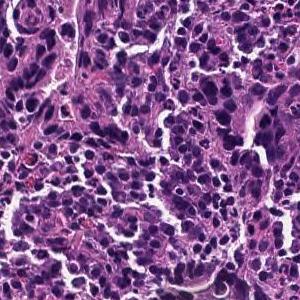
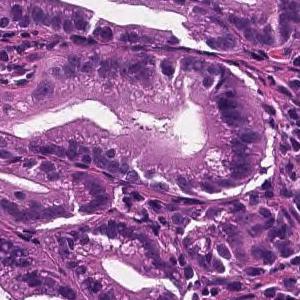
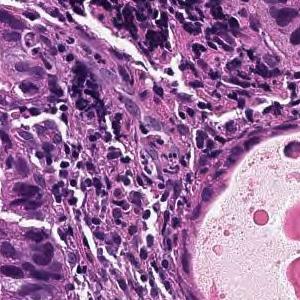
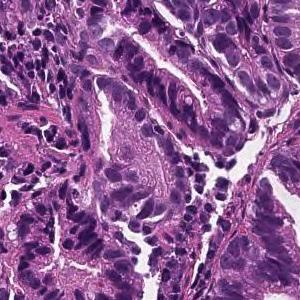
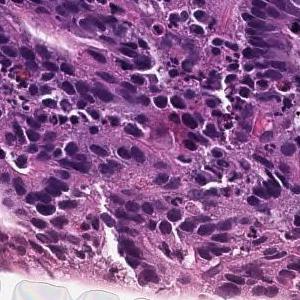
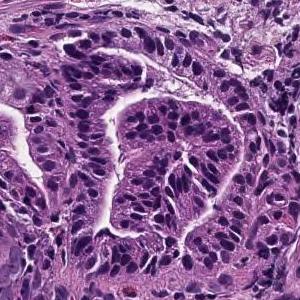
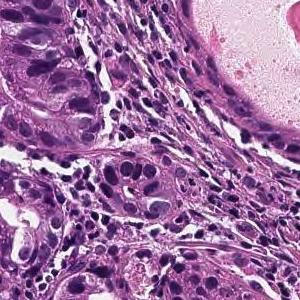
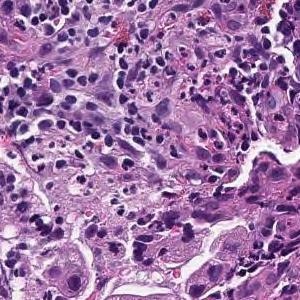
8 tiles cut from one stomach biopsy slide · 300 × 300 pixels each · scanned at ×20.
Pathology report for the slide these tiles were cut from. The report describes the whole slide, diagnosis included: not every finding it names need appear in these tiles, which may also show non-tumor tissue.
On the superficial epithelium, tumor tissue consisting of large irregular glandular ducts partially fused and infiltrated is observed. Well to moderately differentiated tubular adenocarcinoma (well differentiated tubular adenocarcinoma, moderately differentiated tubular adenocarcinoma)
Classified as well to moderately differentiated tubular adenocarcinoma.
